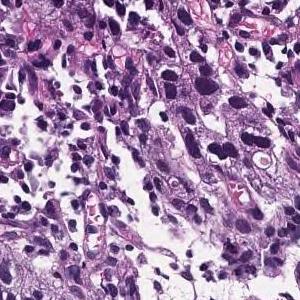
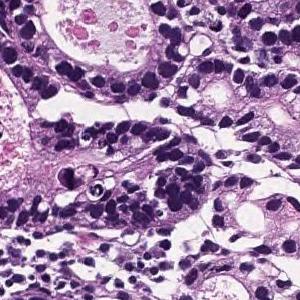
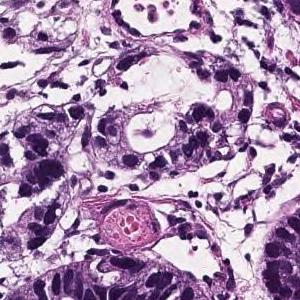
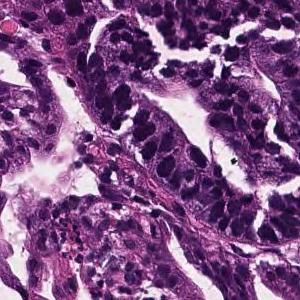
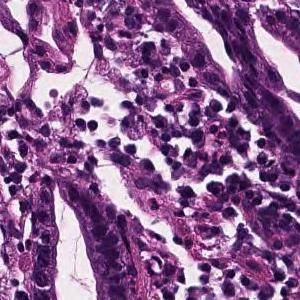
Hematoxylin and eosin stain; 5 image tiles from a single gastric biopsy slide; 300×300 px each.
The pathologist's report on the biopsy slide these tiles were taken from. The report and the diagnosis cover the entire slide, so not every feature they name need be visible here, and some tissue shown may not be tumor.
In the superficial epithelium, tumor tissue that invades by forming medium-sized to small, irregular ducts is observed. Well differentiated tubular adenocarcinoma.
